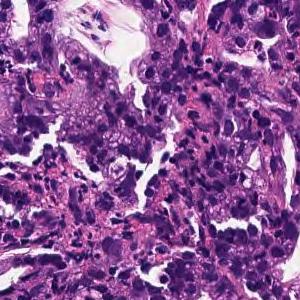
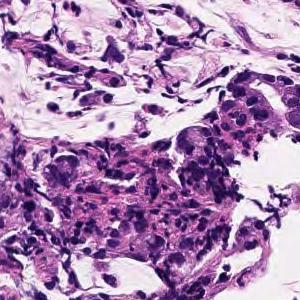
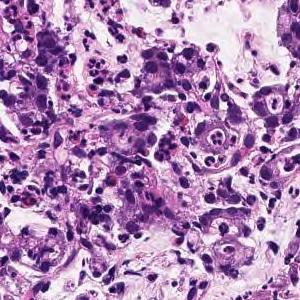
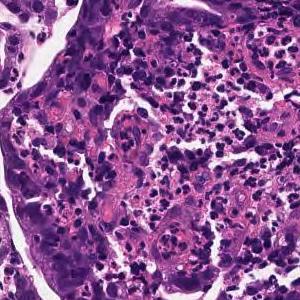
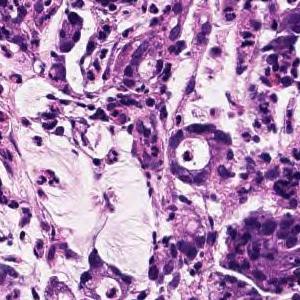
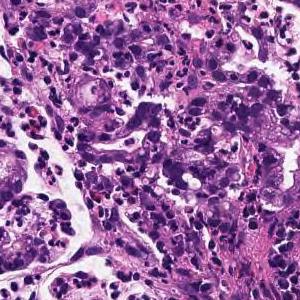
×20, 6 tiles cut from one stomach biopsy slide, 300×300 px each.
Diagnostic report for the slide these tiles come from. The report and the diagnosis describe the slide as a whole, so these tiles may not show every feature named and may include non-tumor tissue.
On the superficial epithelium, tumor tissue consisting of large, irregular glandular ducts partially fused and infiltrated is observed. Well to moderately differentiated tubular adenocarcinoma (well differentiated tubular adenocarcinoma, moderately differentiated tubular adenocarcinoma)
Classified as well to moderately differentiated tubular adenocarcinoma.
